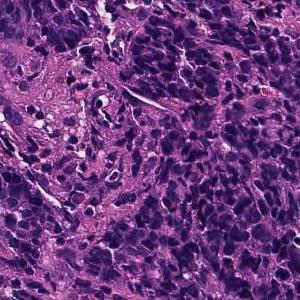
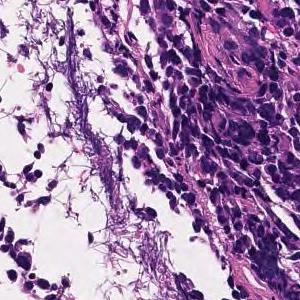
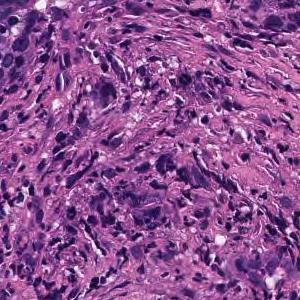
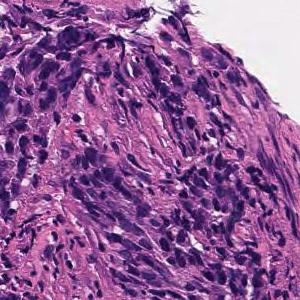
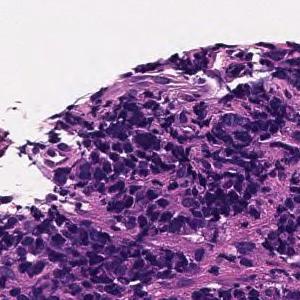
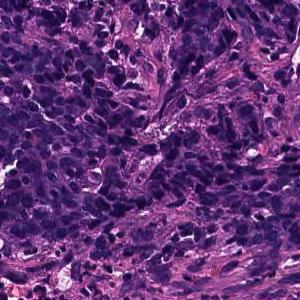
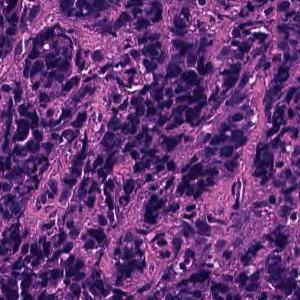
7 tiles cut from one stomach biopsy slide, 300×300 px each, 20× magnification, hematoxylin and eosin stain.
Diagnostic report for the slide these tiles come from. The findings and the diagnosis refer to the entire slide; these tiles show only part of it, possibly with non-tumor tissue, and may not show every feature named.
Tumor tissue consisting of cord-like or small, irregular glandular ducts fused and infiltrated is observed in the superficial epithelium. Poorly differentiated adenocarcinoma, non-solid type
"Non-solid type" is a category of the Japanese Classification of Gastric Carcinoma.
